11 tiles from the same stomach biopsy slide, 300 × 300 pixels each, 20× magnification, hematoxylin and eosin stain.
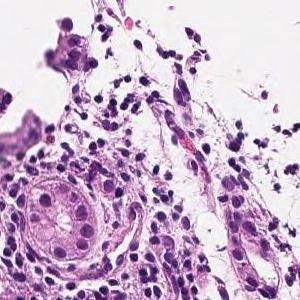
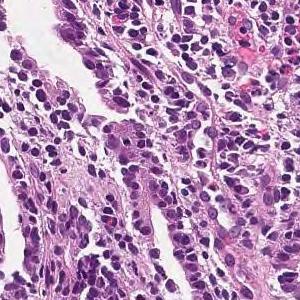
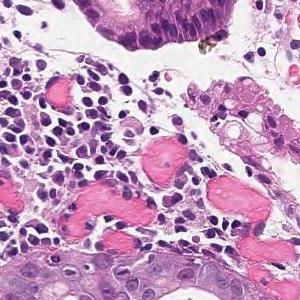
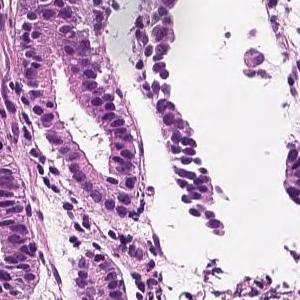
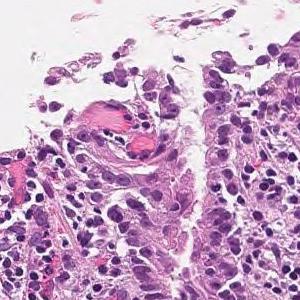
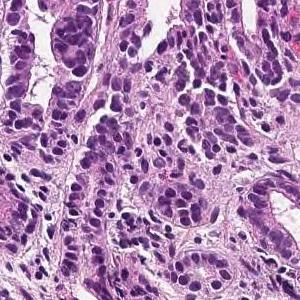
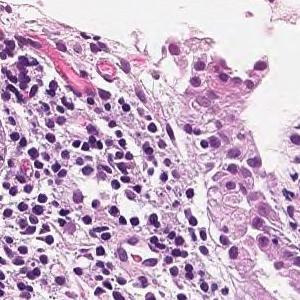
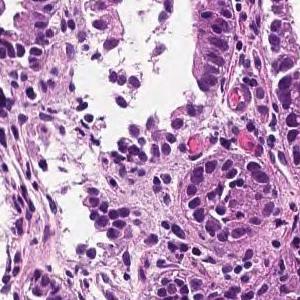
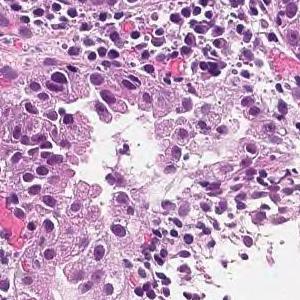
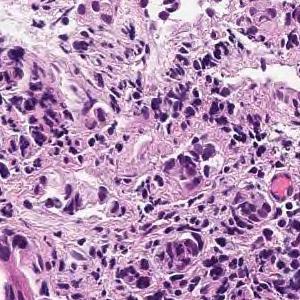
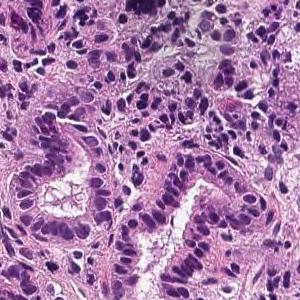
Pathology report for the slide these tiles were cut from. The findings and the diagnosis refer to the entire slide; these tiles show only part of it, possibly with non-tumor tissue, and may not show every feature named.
In the superficial epithelium, tumor tissue that invades by forming medium-sized to small, irregular ducts is observed. moderately differentiated tubular adenocarcinoma.
